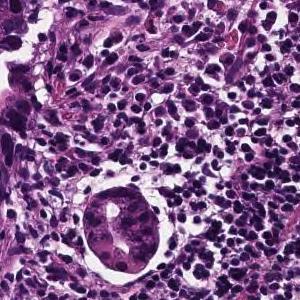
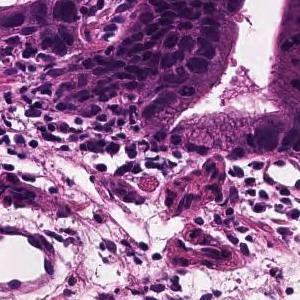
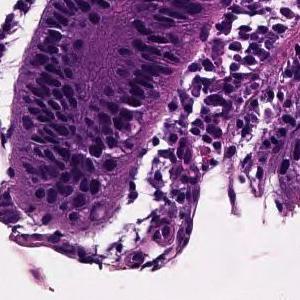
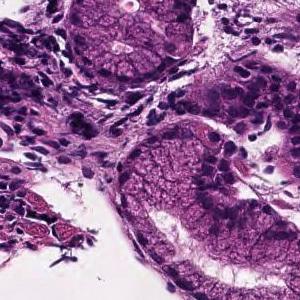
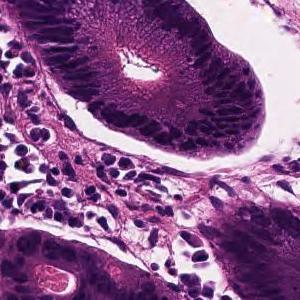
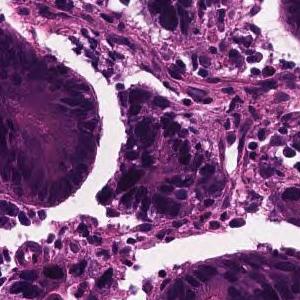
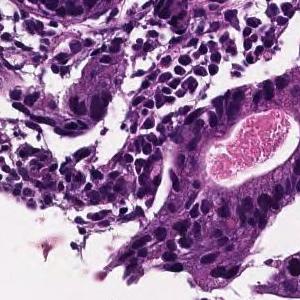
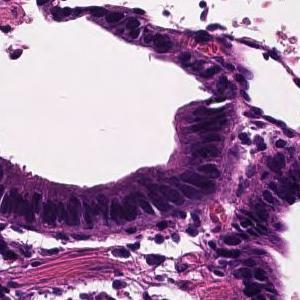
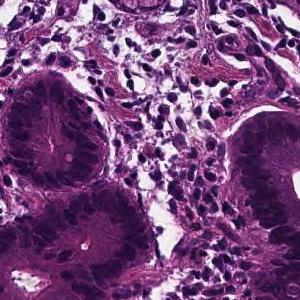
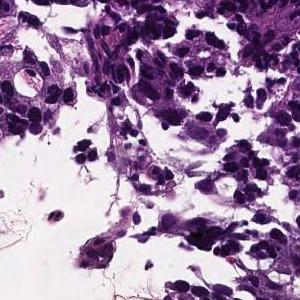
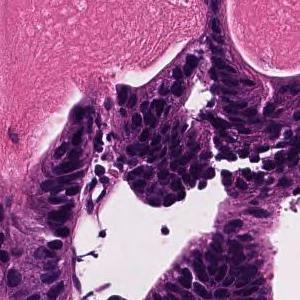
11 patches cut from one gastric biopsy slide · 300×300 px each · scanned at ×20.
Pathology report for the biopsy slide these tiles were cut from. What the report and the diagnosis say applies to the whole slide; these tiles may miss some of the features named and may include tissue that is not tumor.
In the superficial epithelium, tumor tissue that invades by forming medium-sized to small, irregular ducts is observed. moderately differentiated tubular adenocarcinoma.
